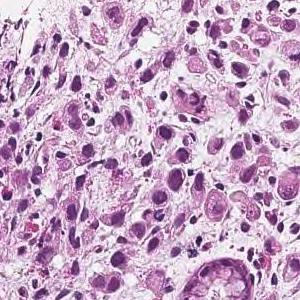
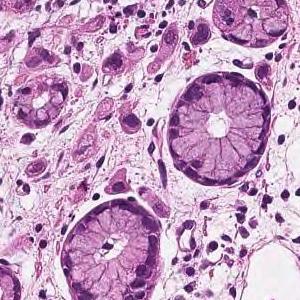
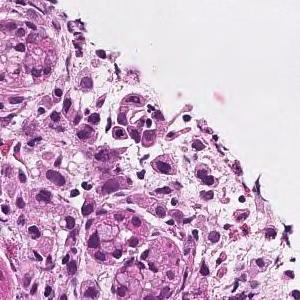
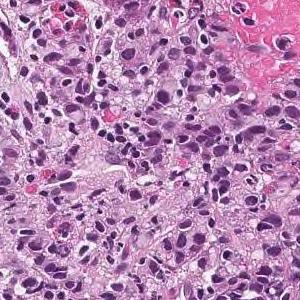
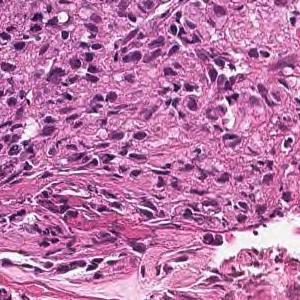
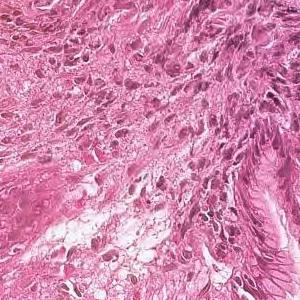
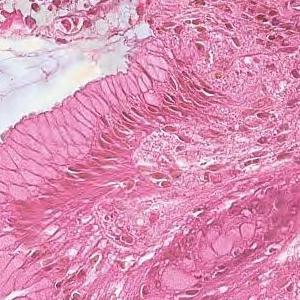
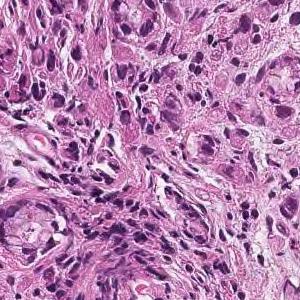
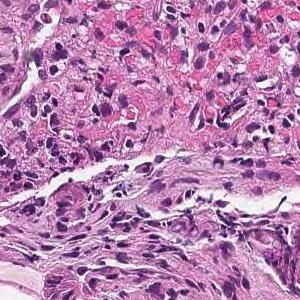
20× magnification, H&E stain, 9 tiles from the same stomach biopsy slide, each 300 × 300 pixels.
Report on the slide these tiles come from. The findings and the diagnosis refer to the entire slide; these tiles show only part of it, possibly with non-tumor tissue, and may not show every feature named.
Tumor tissue consisting of cord-like or small, irregular glandular ducts fused and infiltrated is observed in the superficial epithelium. Poorly differentiated adenocarcinoma, non-solid type
The term "non-solid type" comes from the Japanese Classification of Gastric Carcinoma.
